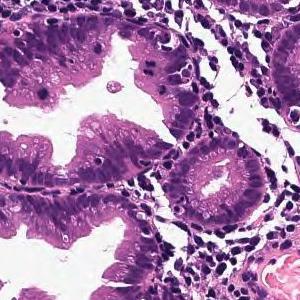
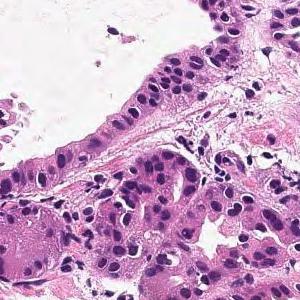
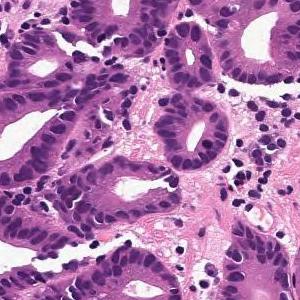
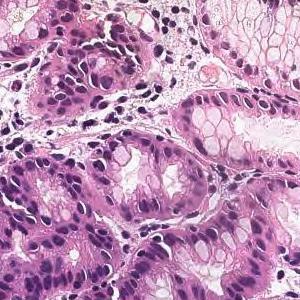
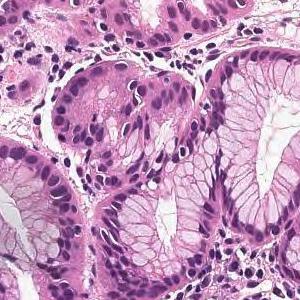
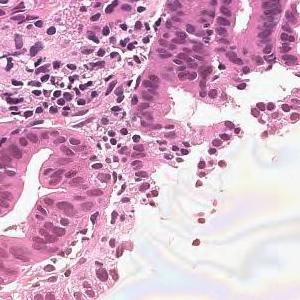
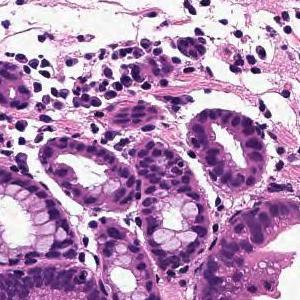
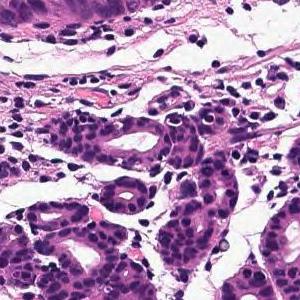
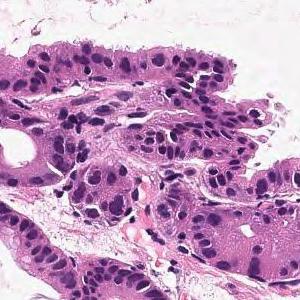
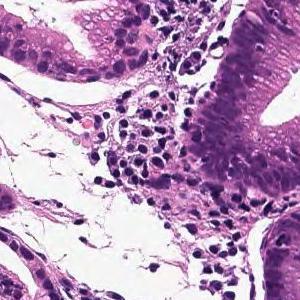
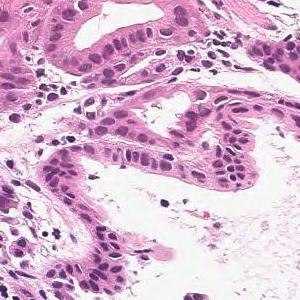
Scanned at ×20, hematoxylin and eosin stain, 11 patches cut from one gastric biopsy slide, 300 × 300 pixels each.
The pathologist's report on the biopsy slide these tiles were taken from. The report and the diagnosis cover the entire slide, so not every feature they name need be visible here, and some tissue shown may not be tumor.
Cells with elliptical or atypical nuclei form dense ducts with relatively clear growth. Well differentiated tubular adenocarcinoma
